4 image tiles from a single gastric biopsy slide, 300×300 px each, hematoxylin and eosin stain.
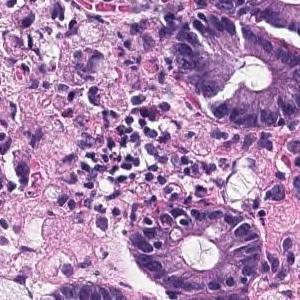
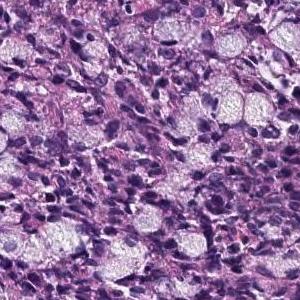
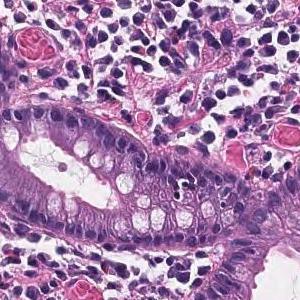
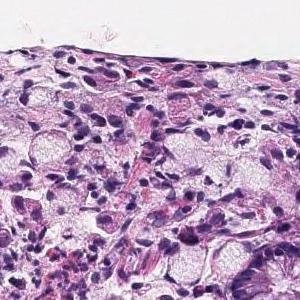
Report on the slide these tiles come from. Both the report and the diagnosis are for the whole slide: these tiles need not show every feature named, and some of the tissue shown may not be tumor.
A tumor tissue consisting of signet ring cell carcinoma cells is observed in the lamina propria. Signet ring cell carcinoma.
